13 tiles cut from one stomach biopsy slide; ×20; H&E.
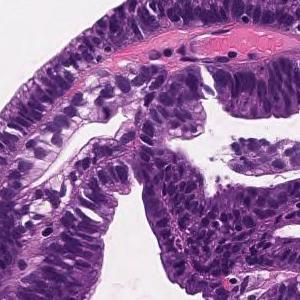
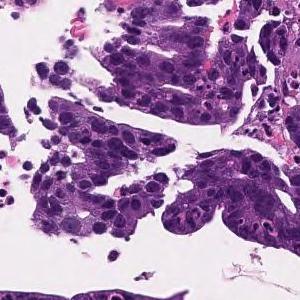
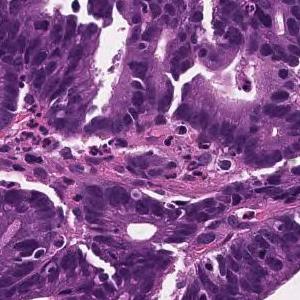
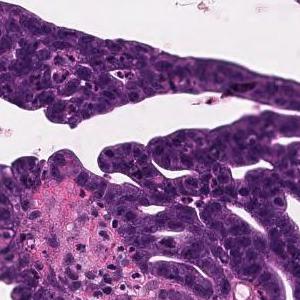
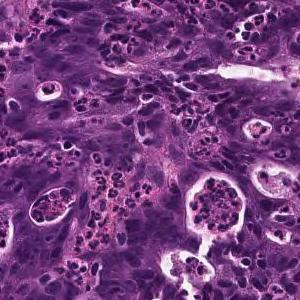
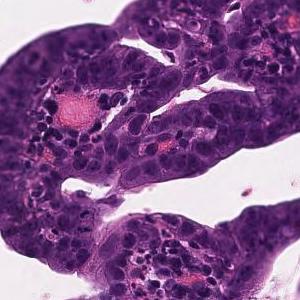
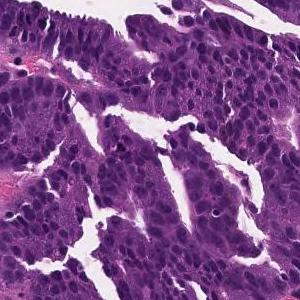
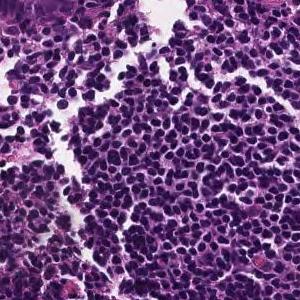
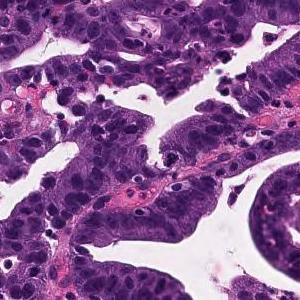
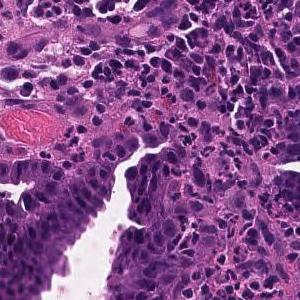
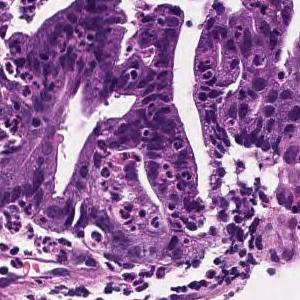
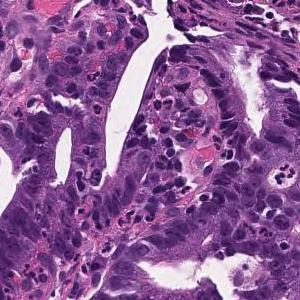
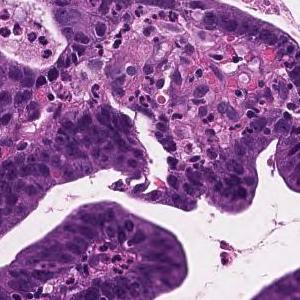
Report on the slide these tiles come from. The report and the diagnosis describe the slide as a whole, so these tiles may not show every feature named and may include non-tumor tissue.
Tumor cells are large, highly columnar, large club-shaped nuclei, and are associated with chromatin aggregation. Papillary adenocarcinoma.
